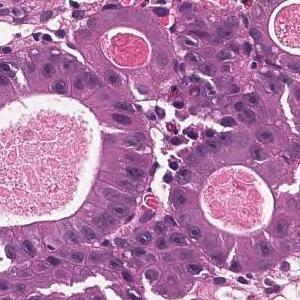
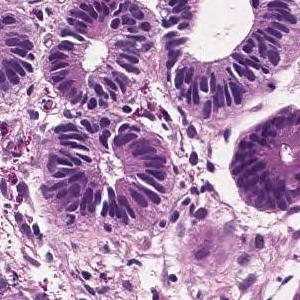
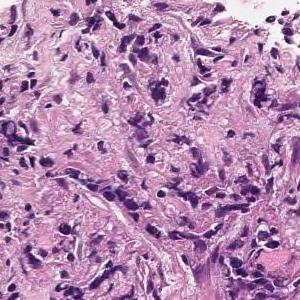
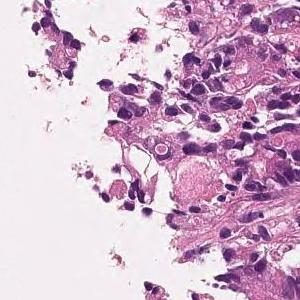
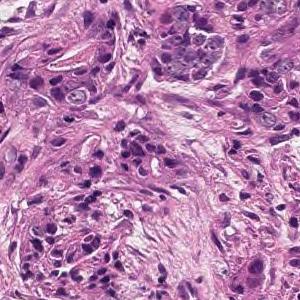
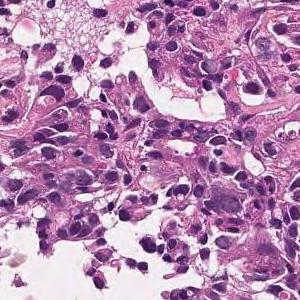
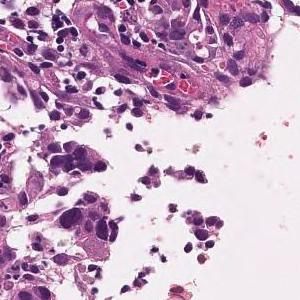
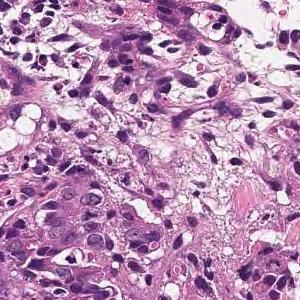
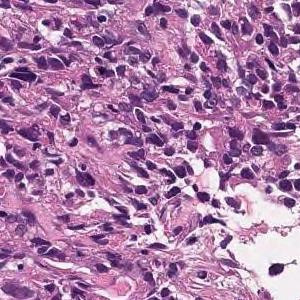
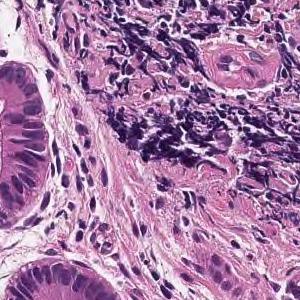
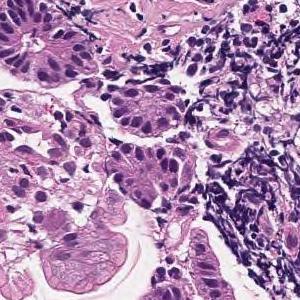
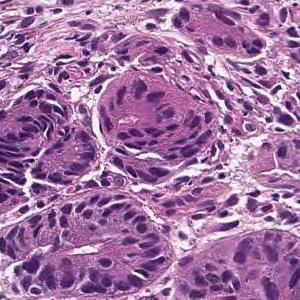
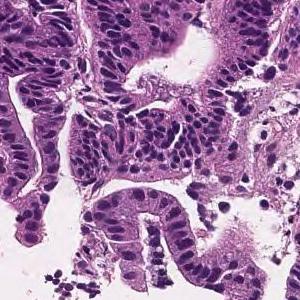
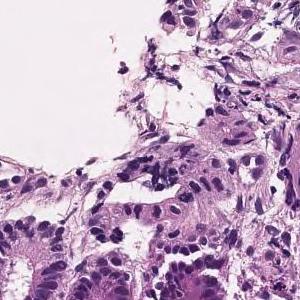
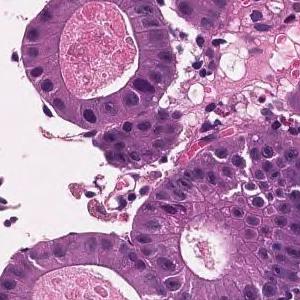
H&E · 15 tiles cut from one stomach biopsy slide · each 300 × 300 pixels.
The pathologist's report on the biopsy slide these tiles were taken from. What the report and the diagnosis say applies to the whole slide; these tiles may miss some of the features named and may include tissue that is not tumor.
Tumor tissue consisting of cord-like or small, irregular glandular ducts fused and infiltrated is observed in the superficial epithelium. Poorly differentiated adenocarcinoma, non-solid type
The term "non-solid type" comes from the Japanese Classification of Gastric Carcinoma.
